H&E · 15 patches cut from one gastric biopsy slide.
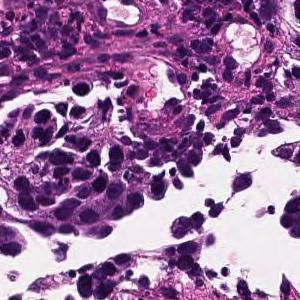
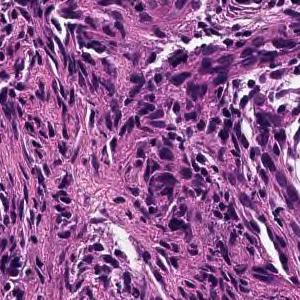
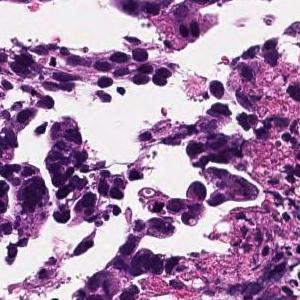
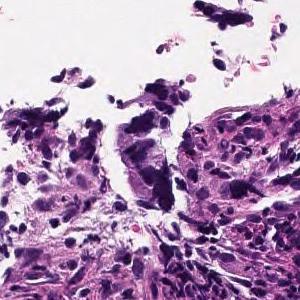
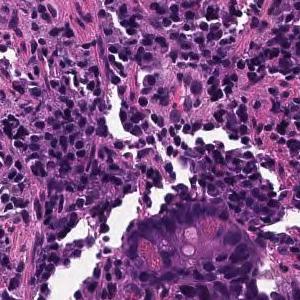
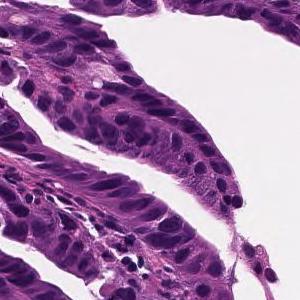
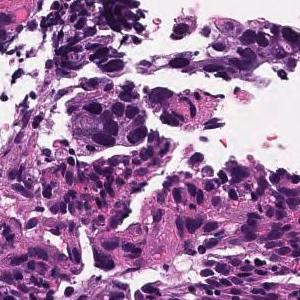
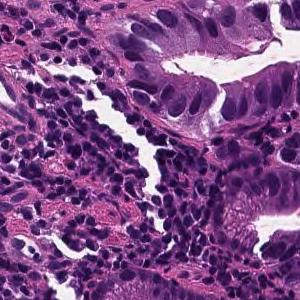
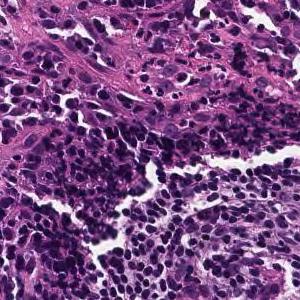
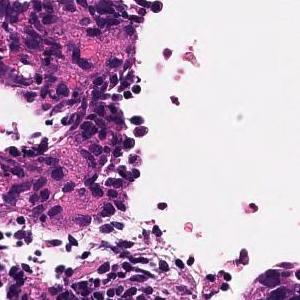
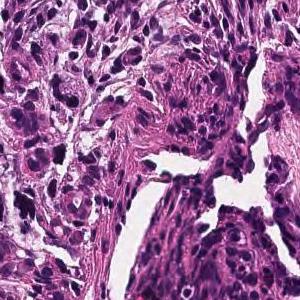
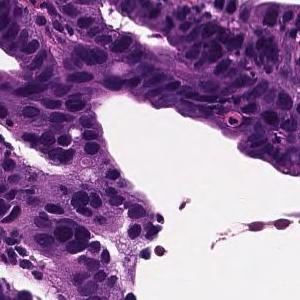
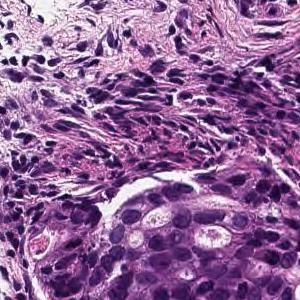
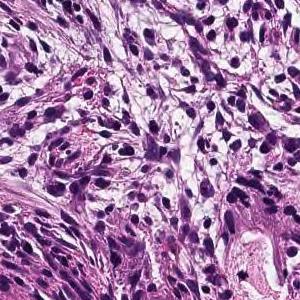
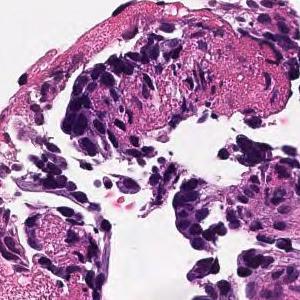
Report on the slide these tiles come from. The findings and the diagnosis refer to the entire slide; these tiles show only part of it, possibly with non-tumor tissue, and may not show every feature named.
On the superficial epithelium, tumor tissue consisting of large irregular glandular ducts partially fused and infiltrated is observed. Well to moderately differentiated tubular adenocarcinoma (well differentiated tubular adenocarcinoma, moderately differentiated tubular adenocarcinoma)
Subtype: Well to moderately differentiated tubular adenocarcinoma.
